H&E stain; 4 patches cut from one gastric biopsy slide.
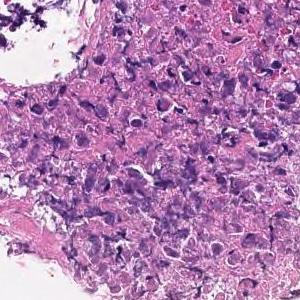
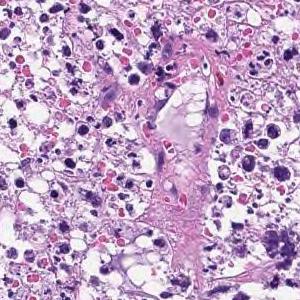
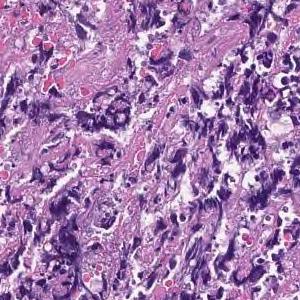
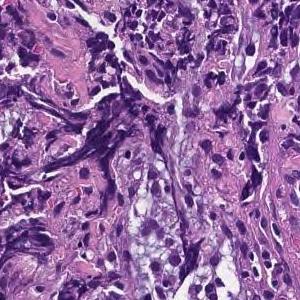
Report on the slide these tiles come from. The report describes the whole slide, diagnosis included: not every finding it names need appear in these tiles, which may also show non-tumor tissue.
Most are composed of coagulative necrotic tissue, but some show a large sheet-like shape, and some show tumor tissue infiltrating with a small cord-like structure. Poorly differentiated adenocarcinoma, solid-type
Subtype: Poorly differentiated adenocarcinoma, solid type, a category of the Japanese Classification of Gastric Carcinoma; in the WHO 2019 classification it is tubular adenocarcinoma, poorly differentiated.
